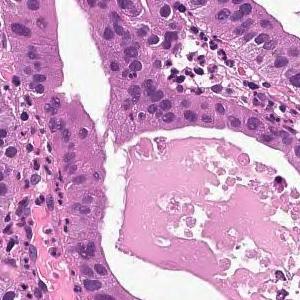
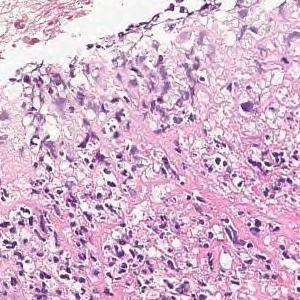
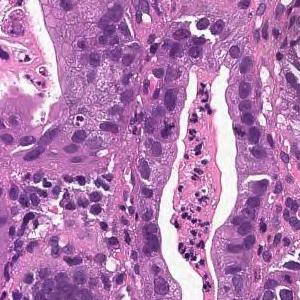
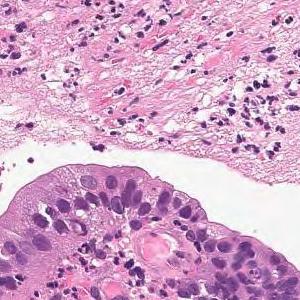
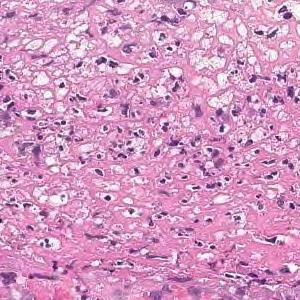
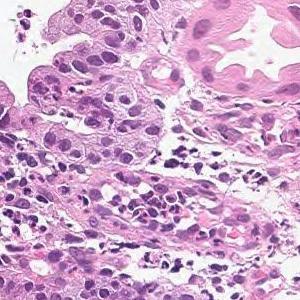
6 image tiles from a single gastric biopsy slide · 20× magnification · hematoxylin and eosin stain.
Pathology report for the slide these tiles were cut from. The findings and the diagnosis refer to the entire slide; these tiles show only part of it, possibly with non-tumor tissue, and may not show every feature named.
From the superficial epithelium to the muscularis mucosae, tumor tissue consisting of medium-sized and irregular glandular ducts infiltrating is observed. Well differentiated tubular adenocarcinoma
